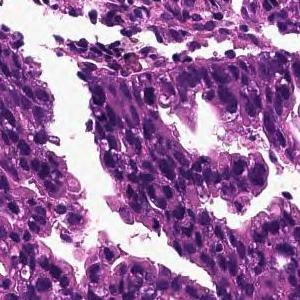
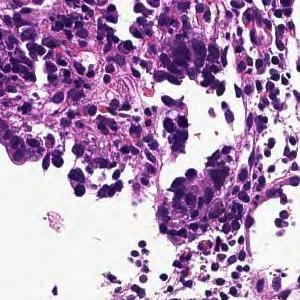
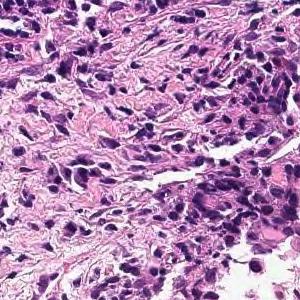
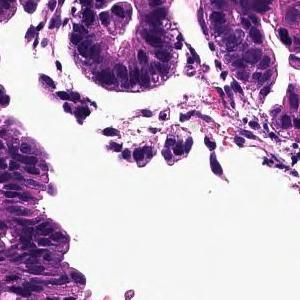
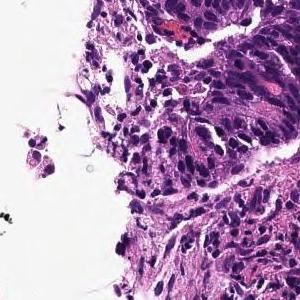
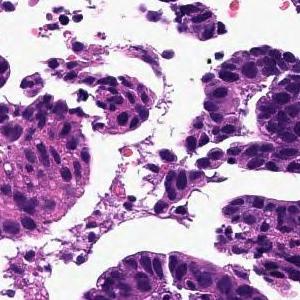
H&E stain, 20× magnification, 6 tiles cut from one stomach biopsy slide, 300×300 px each.
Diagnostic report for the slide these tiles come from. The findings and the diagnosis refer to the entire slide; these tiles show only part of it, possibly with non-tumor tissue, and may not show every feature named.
In the superficial epithelium, tumor tissue that invades by forming medium-sized to small, irregular ducts is observed. moderately differentiated tubular adenocarcinoma.
